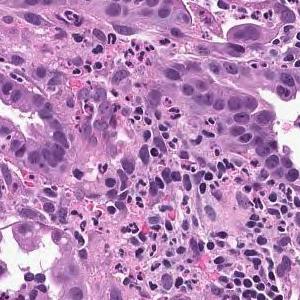
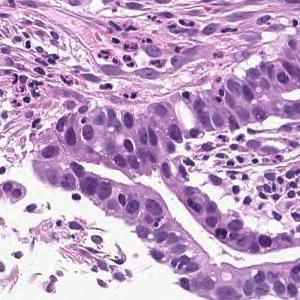
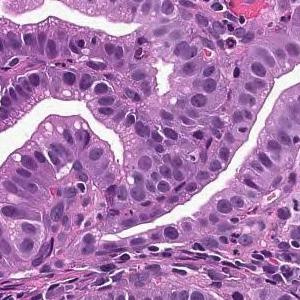
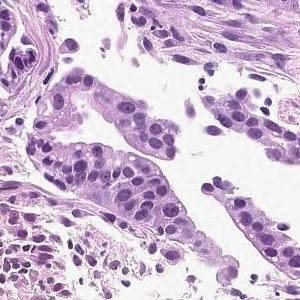
H&E; 20× magnification; 4 tiles from the same stomach biopsy slide; each 300 × 300 pixels.
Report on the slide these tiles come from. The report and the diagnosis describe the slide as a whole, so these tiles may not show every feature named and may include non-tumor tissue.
On the superficial epithelium, tumor tissue that infiltrates by forming medium-sized papillary or small irregular ducts is observed. Papillary adenocarcinoma
